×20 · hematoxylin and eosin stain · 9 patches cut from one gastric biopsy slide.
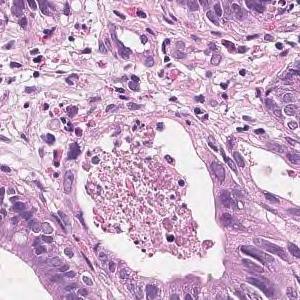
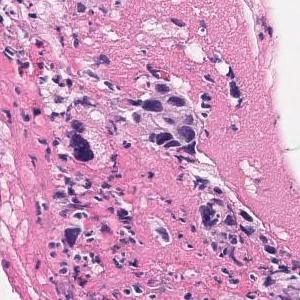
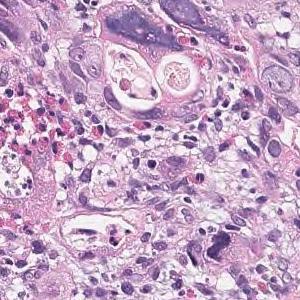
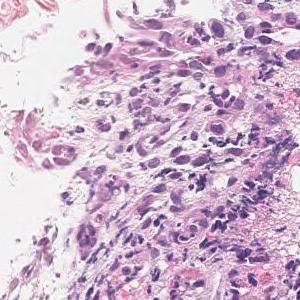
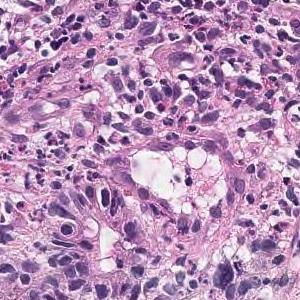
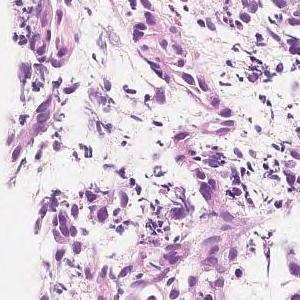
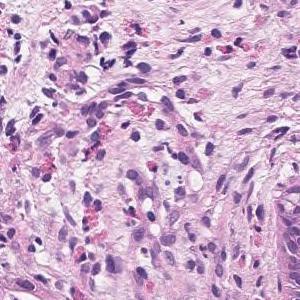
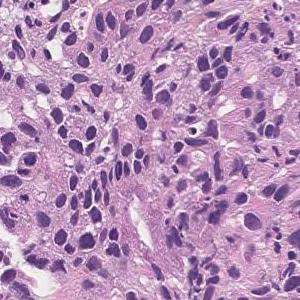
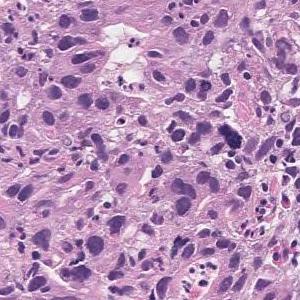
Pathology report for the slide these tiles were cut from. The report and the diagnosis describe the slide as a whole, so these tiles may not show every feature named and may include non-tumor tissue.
Tumor tissue that grows by forming glandular cavities from the superficial layer to the submucosa is observed. Well differentiated tubular adenocarcinoma
